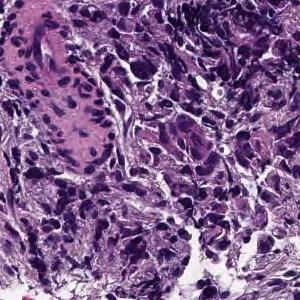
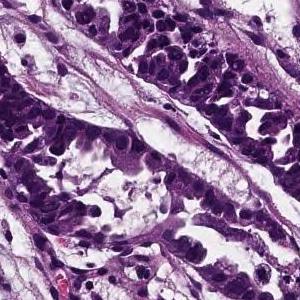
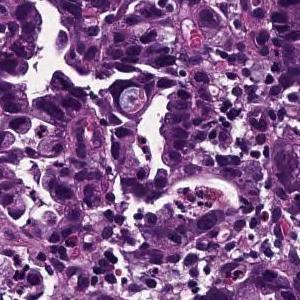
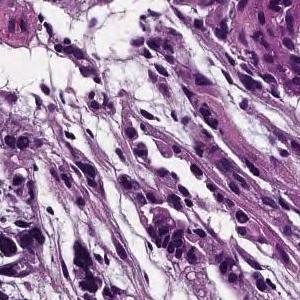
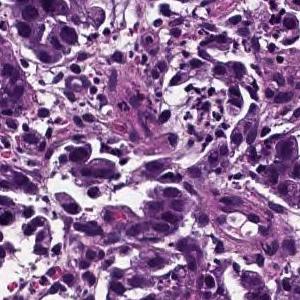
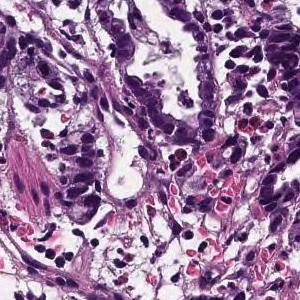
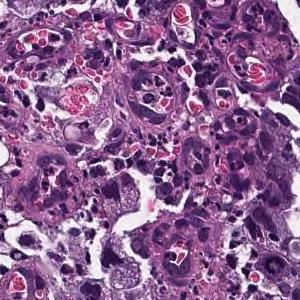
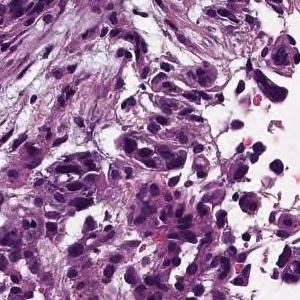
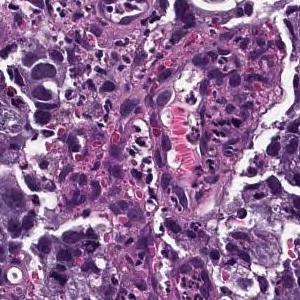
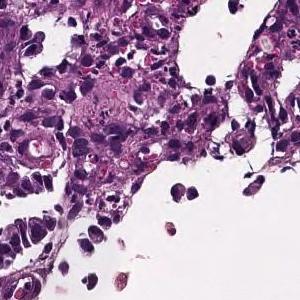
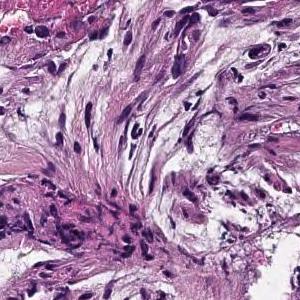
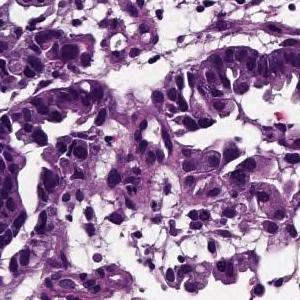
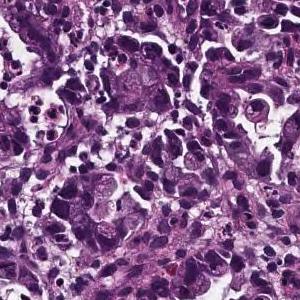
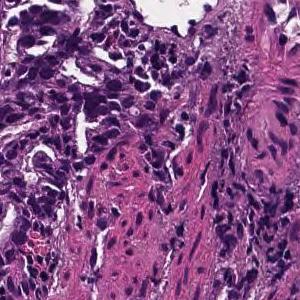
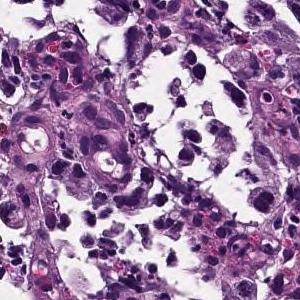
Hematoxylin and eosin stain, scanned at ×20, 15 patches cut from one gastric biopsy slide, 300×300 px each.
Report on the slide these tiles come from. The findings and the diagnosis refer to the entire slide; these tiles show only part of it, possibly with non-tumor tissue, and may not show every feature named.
Medium to small, irregular glandular ducts are formed in the superficial epithelium, and in some cases, the glandular ducts are fused to show solid alveolar lesions and infiltrating tumor tissue is observed. Moderately to poorly differentiated adenocarcinoma.
